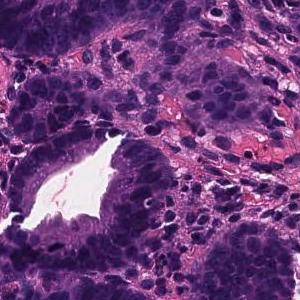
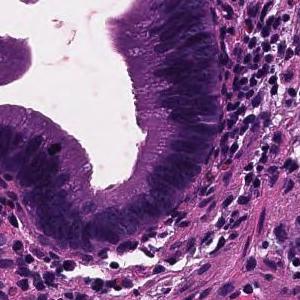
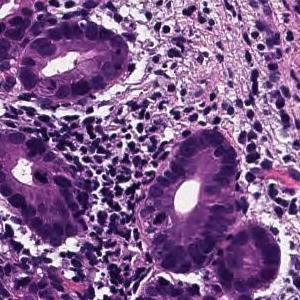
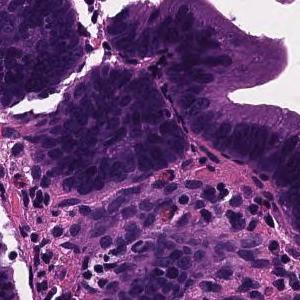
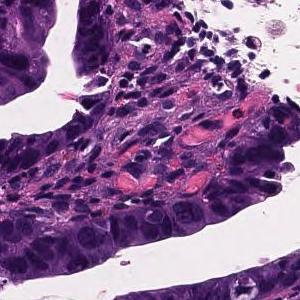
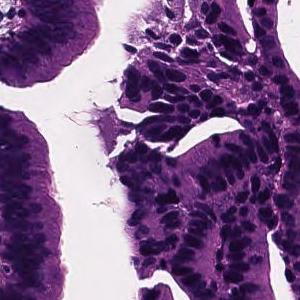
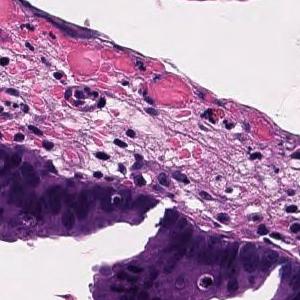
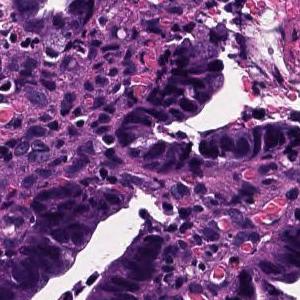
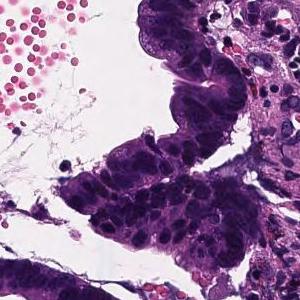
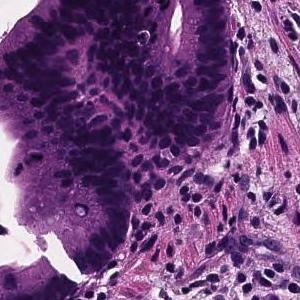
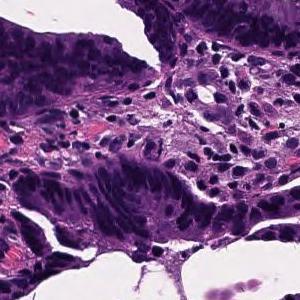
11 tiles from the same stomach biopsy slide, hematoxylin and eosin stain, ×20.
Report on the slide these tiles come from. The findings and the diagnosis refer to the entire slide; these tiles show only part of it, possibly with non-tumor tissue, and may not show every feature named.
Tumor cells are large, highly columnar, large club-shaped nuclei, and are associated with chromatin aggregation. Papillary adenocarcinoma.
